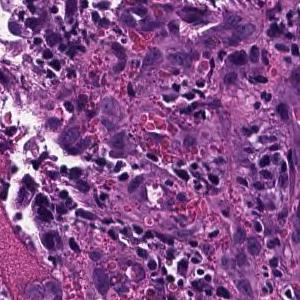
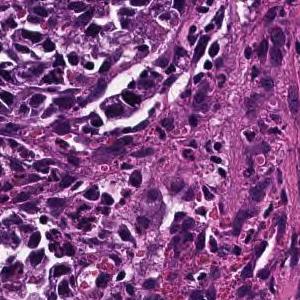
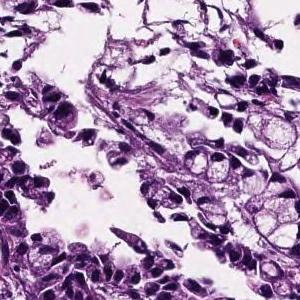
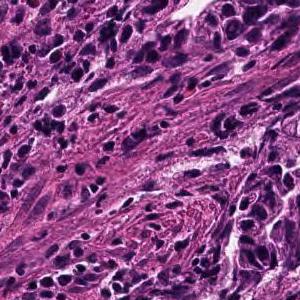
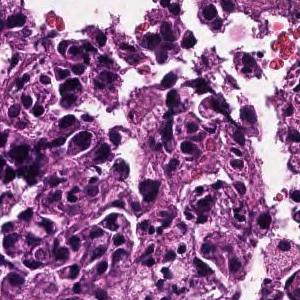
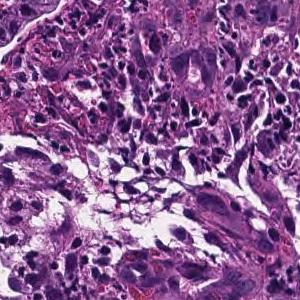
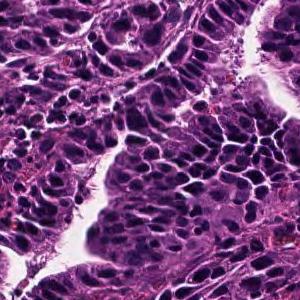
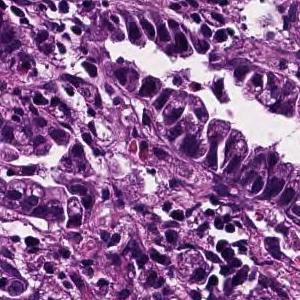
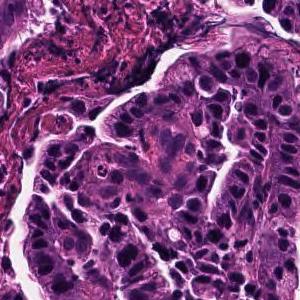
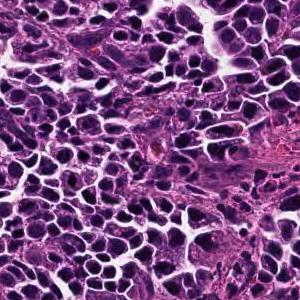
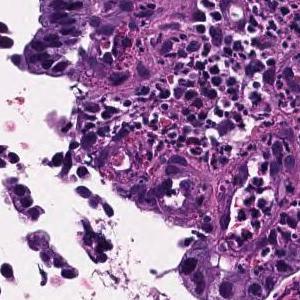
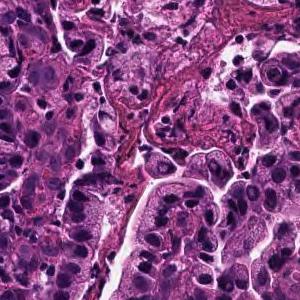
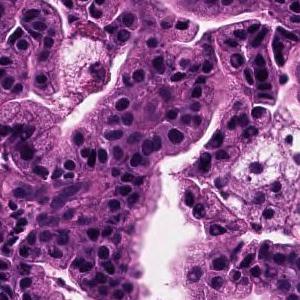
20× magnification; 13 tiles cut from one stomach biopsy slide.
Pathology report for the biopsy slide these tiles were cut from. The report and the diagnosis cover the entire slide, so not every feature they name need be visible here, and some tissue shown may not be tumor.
Tumor cells are large, highly columnar, large club-shaped nuclei, and are associated with chromatin aggregation. Papillary adenocarcinoma.
